11 tiles from the same stomach biopsy slide; 300 × 300 pixels each.
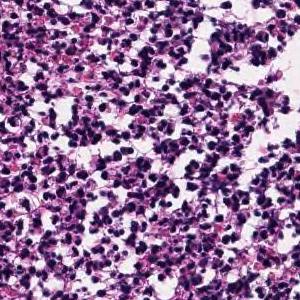
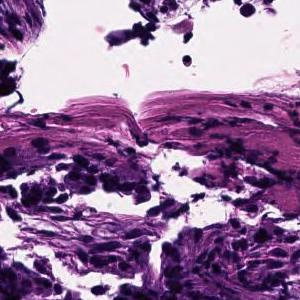
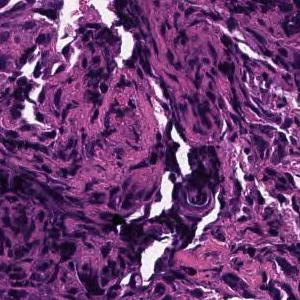
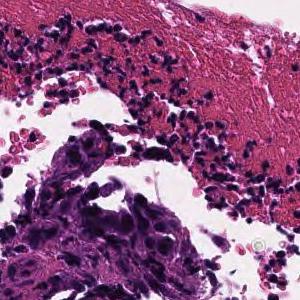
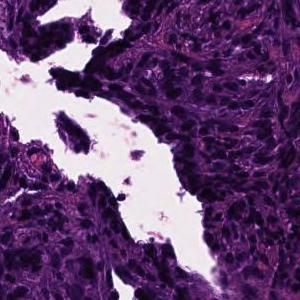
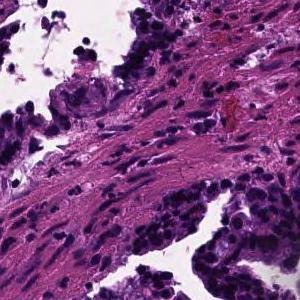
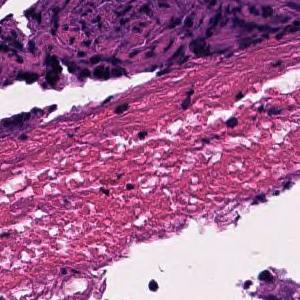
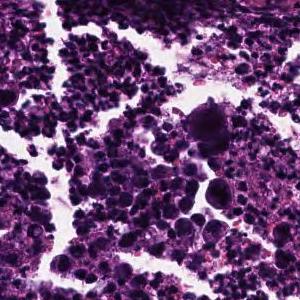
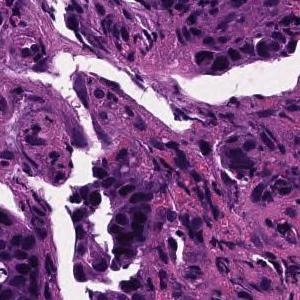
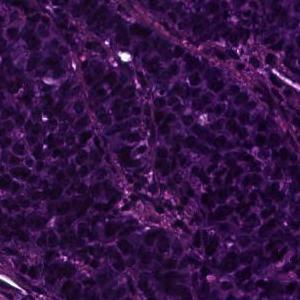
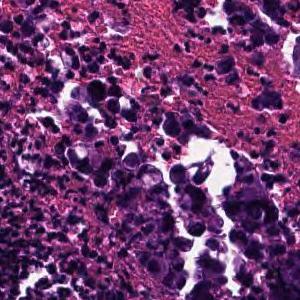
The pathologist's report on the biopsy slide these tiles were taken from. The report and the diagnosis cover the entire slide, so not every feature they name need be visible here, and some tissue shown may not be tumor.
In the superficial epithelium, tumor tissue that invades by forming medium-sized to small, irregular ducts is observed. moderately differentiated tubular adenocarcinoma.
